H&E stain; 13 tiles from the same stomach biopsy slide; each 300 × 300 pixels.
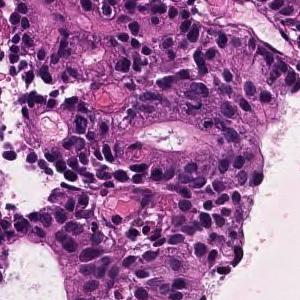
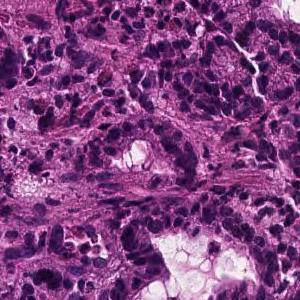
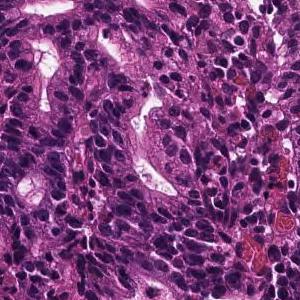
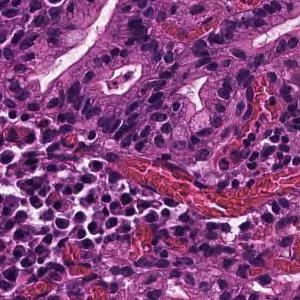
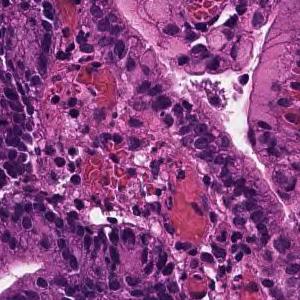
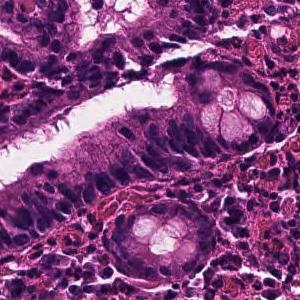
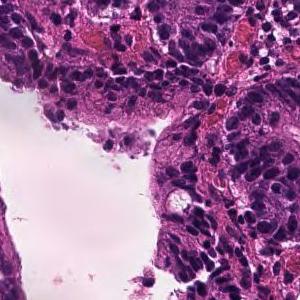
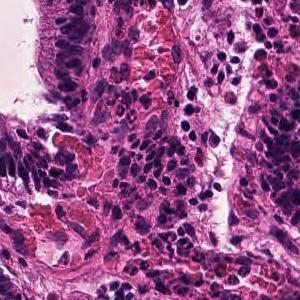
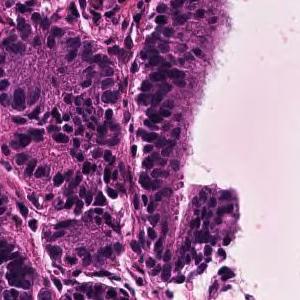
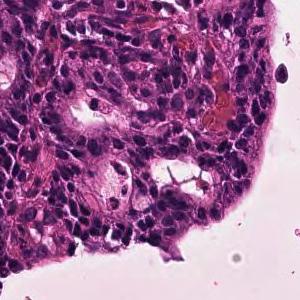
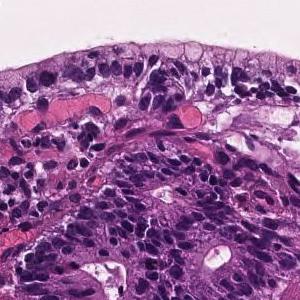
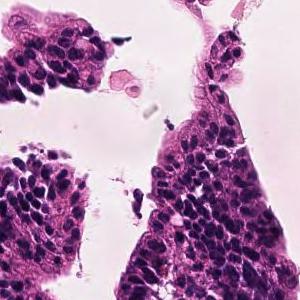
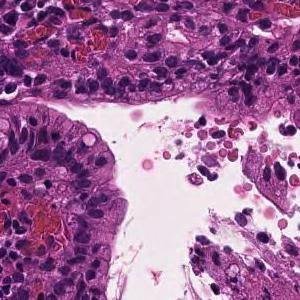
Pathology report for the biopsy slide these tiles were cut from. The report and the diagnosis cover the entire slide, so not every feature they name need be visible here, and some tissue shown may not be tumor.
In the superficial epithelium, tumor tissue that invades by forming medium-sized to small, irregular ducts is observed. moderately differentiated tubular adenocarcinoma.
